15 image tiles from a single gastric biopsy slide, 300 × 300 pixels each, hematoxylin and eosin stain, scanned at ×20.
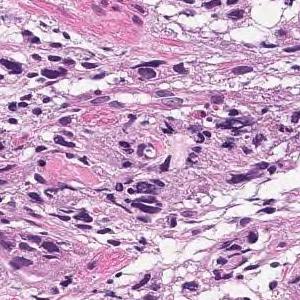
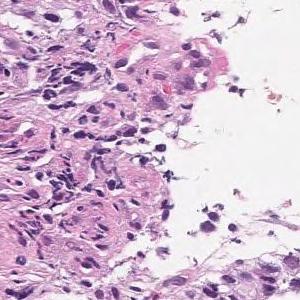
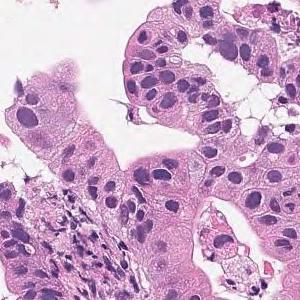
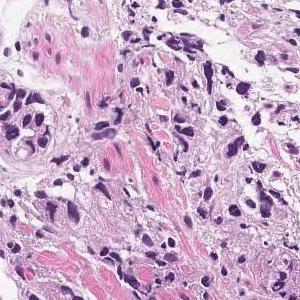
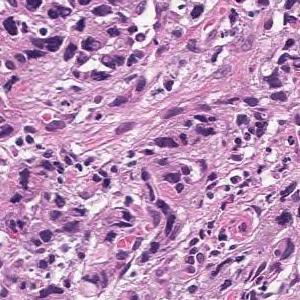
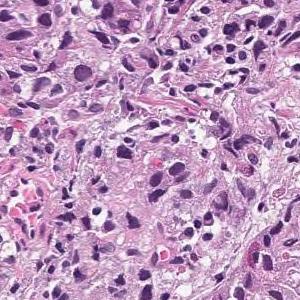
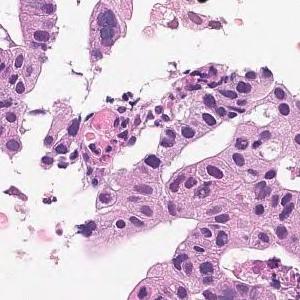
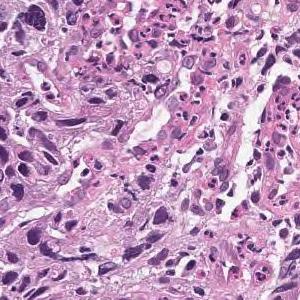
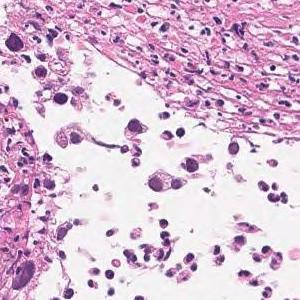
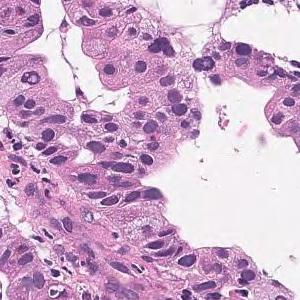
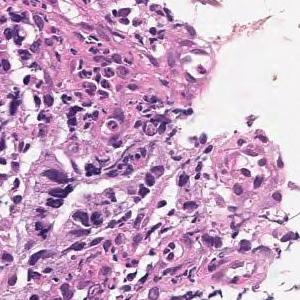
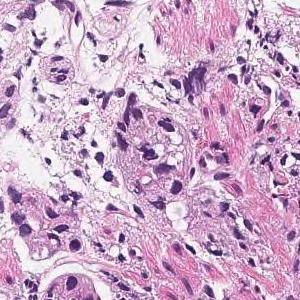
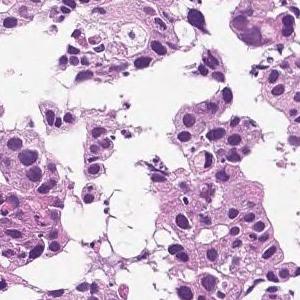
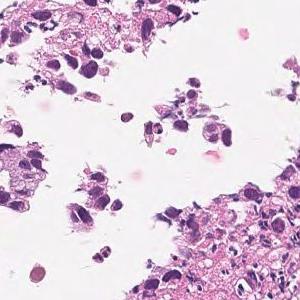
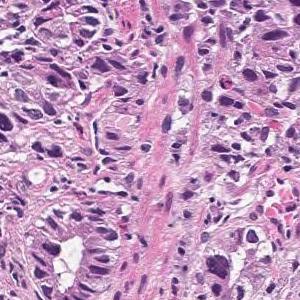
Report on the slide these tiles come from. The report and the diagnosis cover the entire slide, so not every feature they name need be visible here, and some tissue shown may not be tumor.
Tumor tissue that grows by forming gland ducts from the surface layer to the submucosa is observed. moderately differentiated tubular adenocarcinoma
